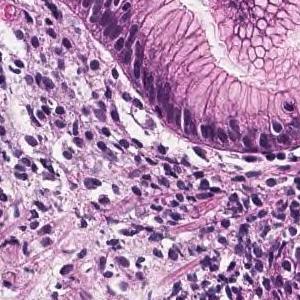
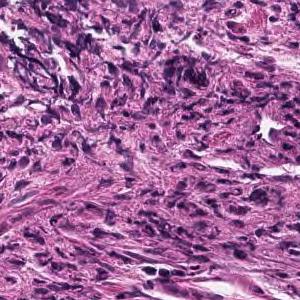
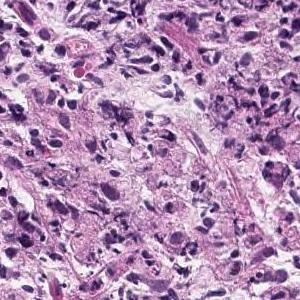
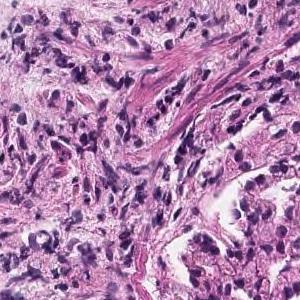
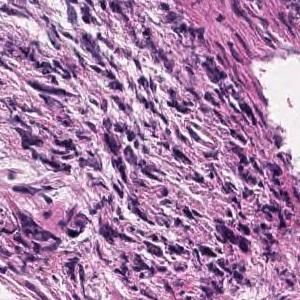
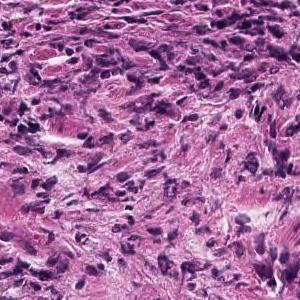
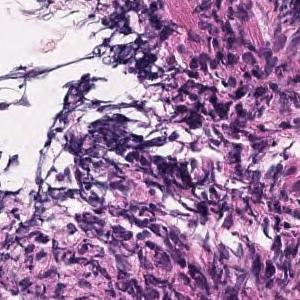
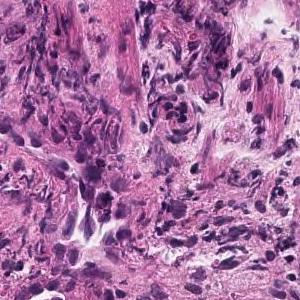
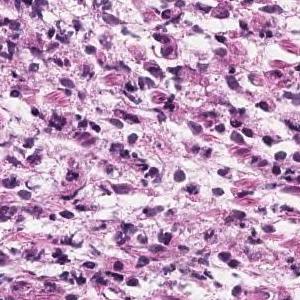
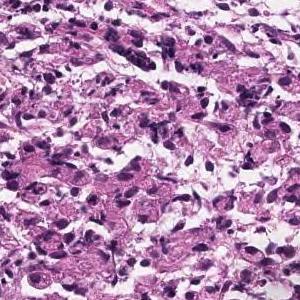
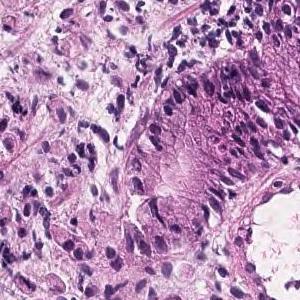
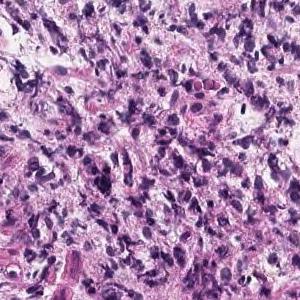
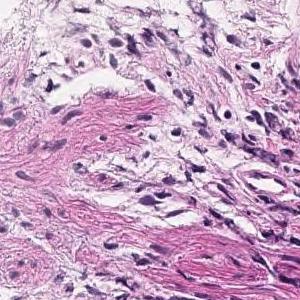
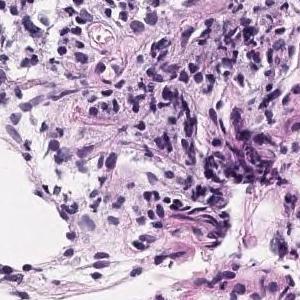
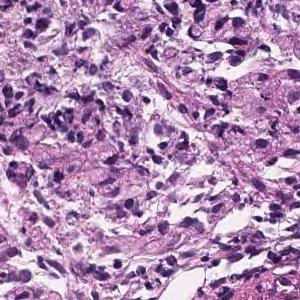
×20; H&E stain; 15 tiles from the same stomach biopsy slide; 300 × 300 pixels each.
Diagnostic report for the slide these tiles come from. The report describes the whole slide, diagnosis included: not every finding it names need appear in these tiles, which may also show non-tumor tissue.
In the lamina propria, a tumor tissue consisting of signet ring cell type atypical epithelial cells infiltrating is observed. Signet ring cell carcinoma.
